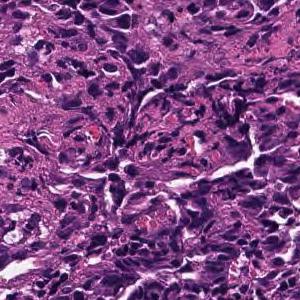
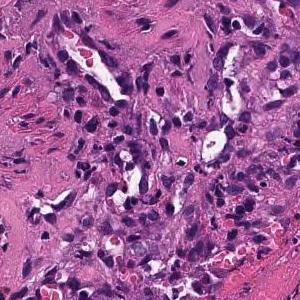
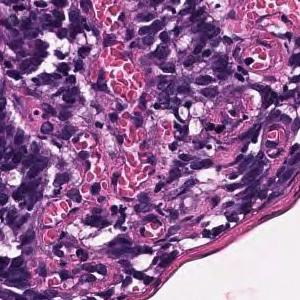
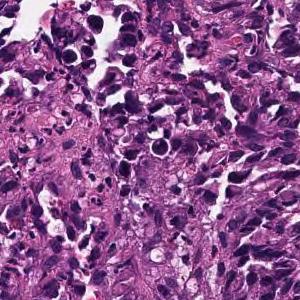
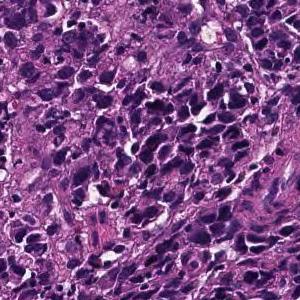
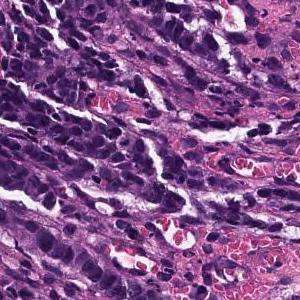
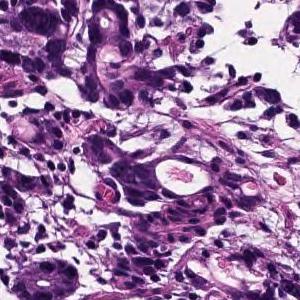
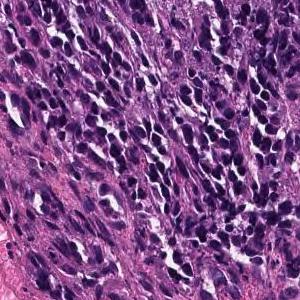
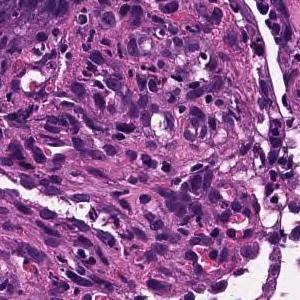
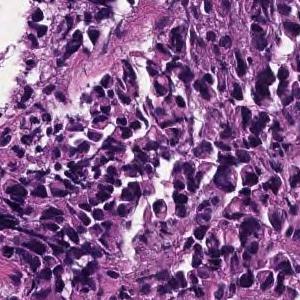
10 tiles cut from one stomach biopsy slide; H&E stain.
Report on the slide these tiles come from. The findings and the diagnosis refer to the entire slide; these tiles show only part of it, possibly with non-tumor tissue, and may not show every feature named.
Poorly differentiated, solid adenocarcinoma (poorly differentiated adenocarcinoma, solid type) with tumor tissue diffusely infiltrated with atypical epithelial cells
Subtype: Poorly differentiated adenocarcinoma, solid type (Japanese Classification of Gastric Carcinoma). The WHO 2019 equivalent is tubular adenocarcinoma, poorly differentiated.
